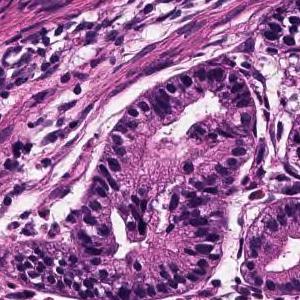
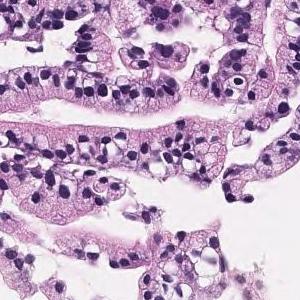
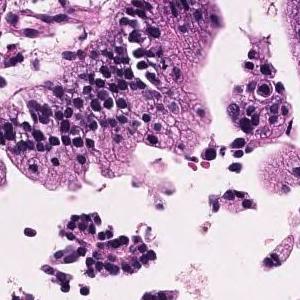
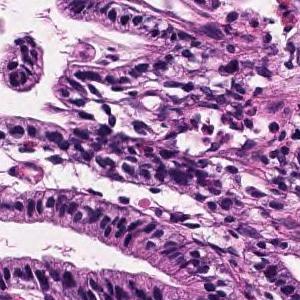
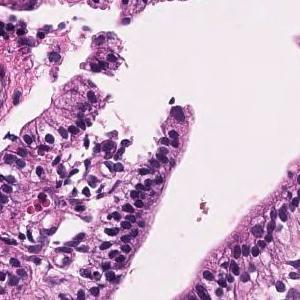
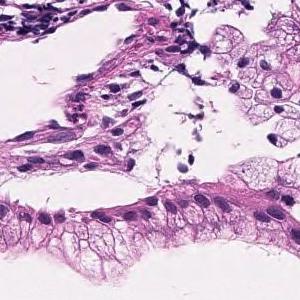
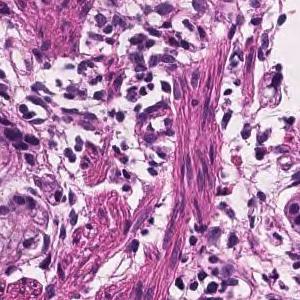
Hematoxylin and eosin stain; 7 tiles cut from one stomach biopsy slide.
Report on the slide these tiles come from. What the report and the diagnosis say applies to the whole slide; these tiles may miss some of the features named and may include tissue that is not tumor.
Tumor tissue consisting of large papillary structures or irregular glandular ducts partially fused and infiltrated is observed in the superficial epithelium. Well to moderately differentiated tubular adenocarcinoma.
Dataset label: moderately differentiated tubular adenocarcinoma.
